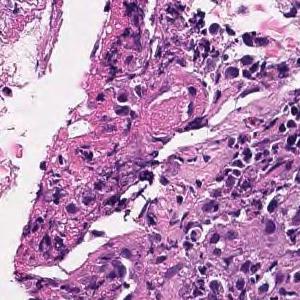
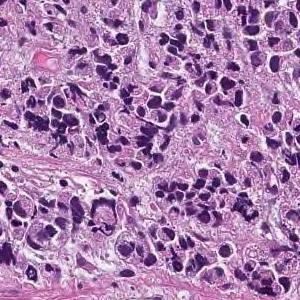
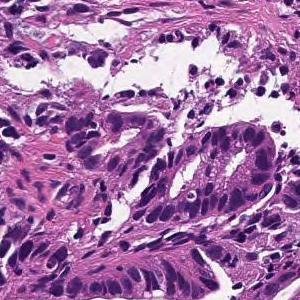
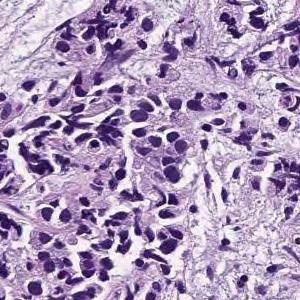
Hematoxylin and eosin stain, 4 tiles from the same stomach biopsy slide, each 300 × 300 pixels.
Report on the slide these tiles come from. The report and the diagnosis cover the entire slide, so not every feature they name need be visible here, and some tissue shown may not be tumor.
The lamina propria shows small cord-like tumor tissue that infiltrates with fibrosis and marked chronic inflammatory cell infiltration. Poorly differentiated adenocarcinoma, non-solid type
The non-solid type named here is a Japanese Classification of Gastric Carcinoma category.
